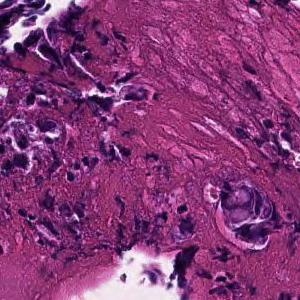
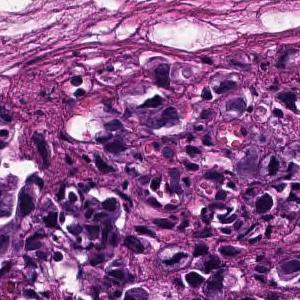
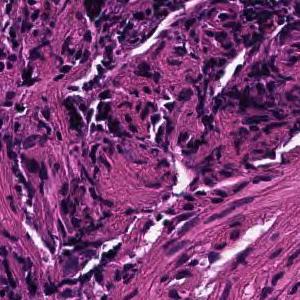
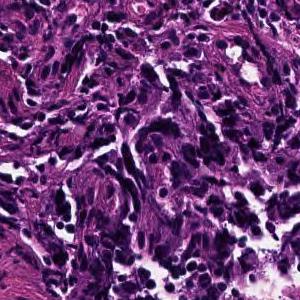
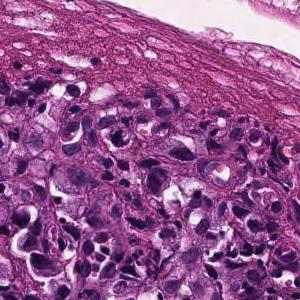
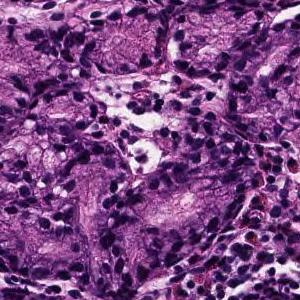
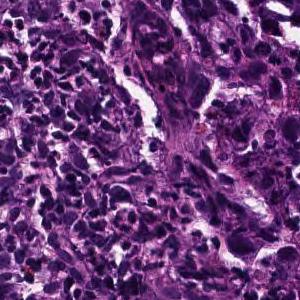
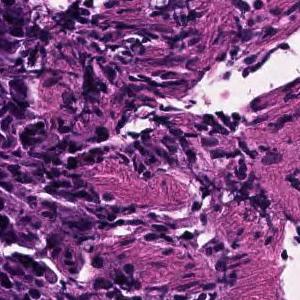
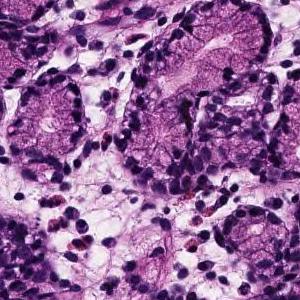
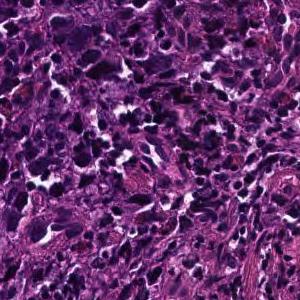
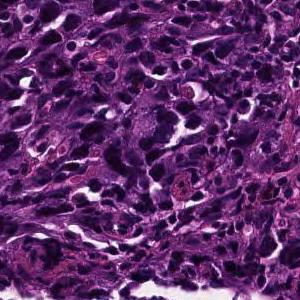
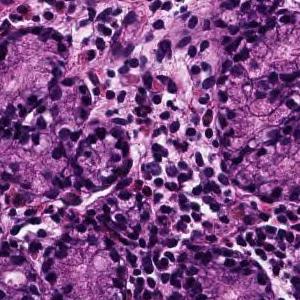
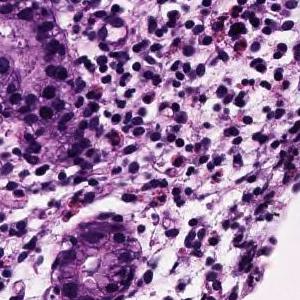
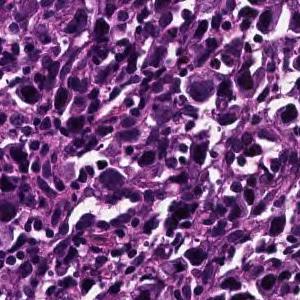
Scanned at ×20 · H&E stain · 14 patches cut from one gastric biopsy slide · 300 × 300 pixels each.
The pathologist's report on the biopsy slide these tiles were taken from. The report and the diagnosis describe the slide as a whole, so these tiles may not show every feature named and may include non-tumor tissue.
The superficial epithelium shows a large sheet-like shape, and some tumor tissues infiltrate with a small cord-like structure. Poorly differentiated adenocarcinoma, solid type (poorly differentiated adenocarcinoma, solid type)
Subtype: Poorly differentiated adenocarcinoma, solid type, a category of the Japanese Classification of Gastric Carcinoma; in the WHO 2019 classification it is tubular adenocarcinoma, poorly differentiated.
